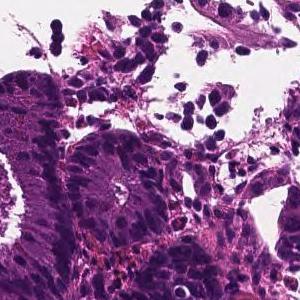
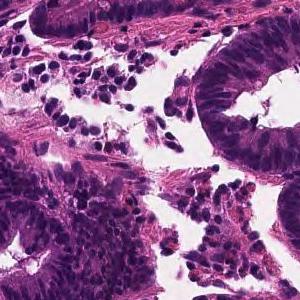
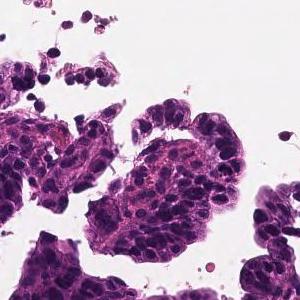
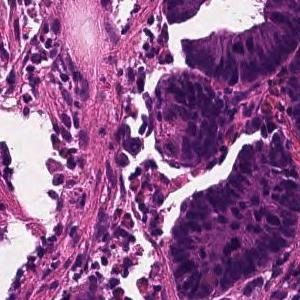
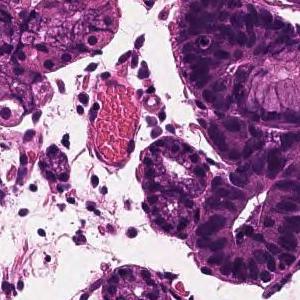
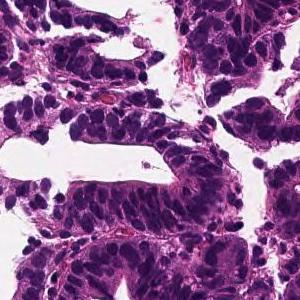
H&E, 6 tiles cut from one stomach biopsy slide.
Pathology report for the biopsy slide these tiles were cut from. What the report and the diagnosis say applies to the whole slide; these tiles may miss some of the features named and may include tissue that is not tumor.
From the superficial epithelium to the muscularis mucosae, tumor tissue consisting of medium-sized and irregular glandular ducts infiltrating is observed. Well differentiated tubular adenocarcinoma
